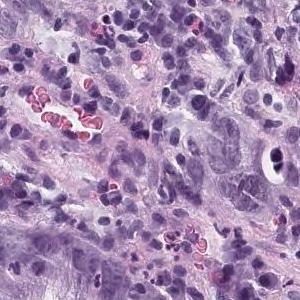
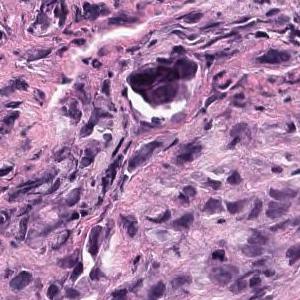
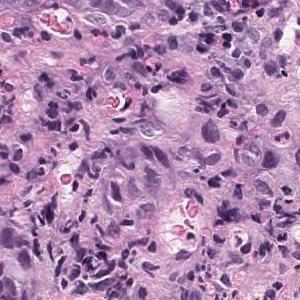
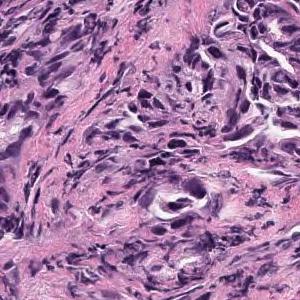
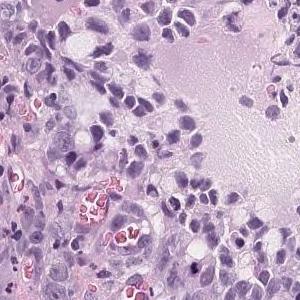
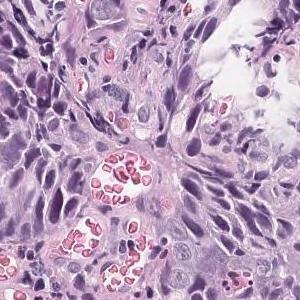
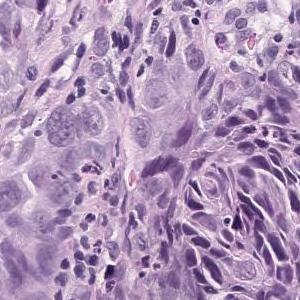
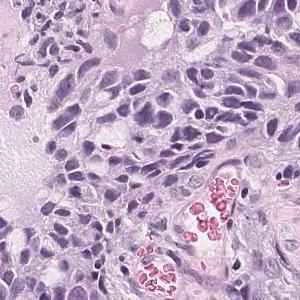
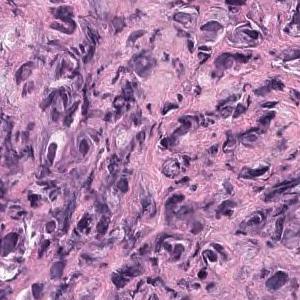
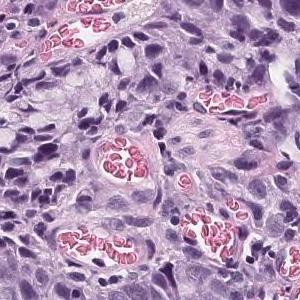
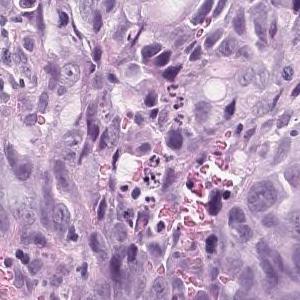
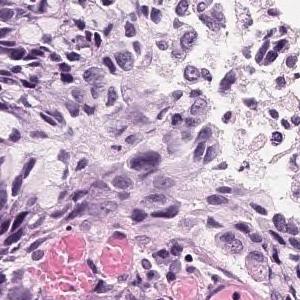
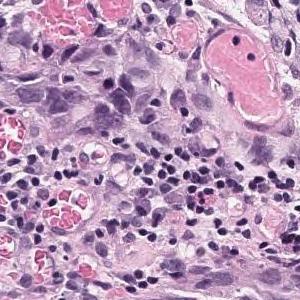
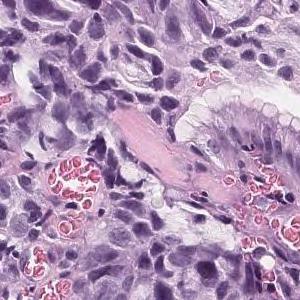
14 patches cut from one gastric biopsy slide, hematoxylin and eosin stain, scanned at ×20.
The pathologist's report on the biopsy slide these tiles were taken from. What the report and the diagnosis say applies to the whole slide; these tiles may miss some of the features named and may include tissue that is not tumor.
Large atypical epithelial cells showing polymorphism form solid alveolar lesions, and tumor tissue infiltrating with microglandular cavities is observed. Poorly differentiated adenocarcinoma, solid-type
Tumor subtype: poorly differentiated adenocarcinoma, solid type (Japanese Classification of Gastric Carcinoma). The WHO 2019 equivalent is tubular adenocarcinoma, poorly differentiated.
